×20, H&E, 6 image tiles from a single gastric biopsy slide, each 300 × 300 pixels.
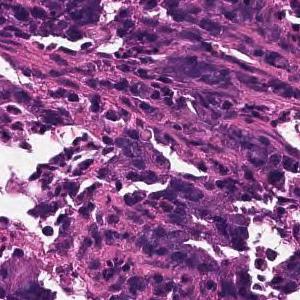
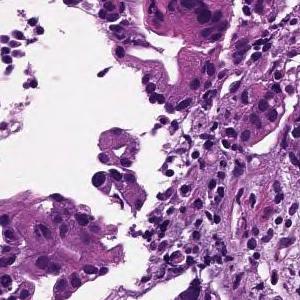
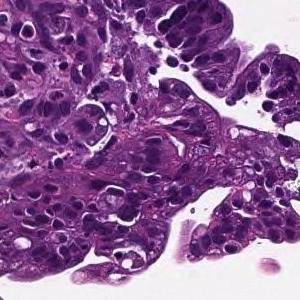
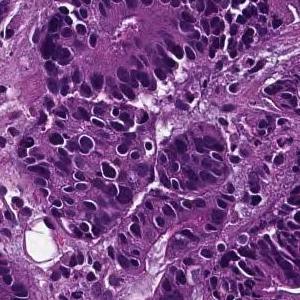
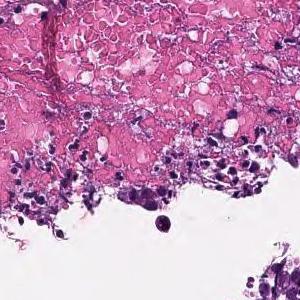
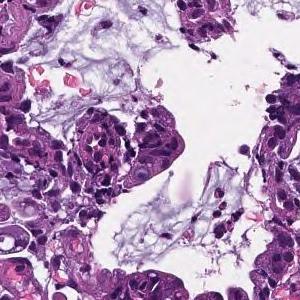
Diagnostic report for the slide these tiles come from. Both the report and the diagnosis are for the whole slide: these tiles need not show every feature named, and some of the tissue shown may not be tumor.
On the superficial epithelium, tumor tissue consisting of large irregular glandular ducts partially fused and infiltrated is observed. Well to moderately differentiated tubular adenocarcinoma (well differentiated tubular adenocarcinoma, moderately differentiated tubular adenocarcinoma)
Subtype: Well to moderately differentiated tubular adenocarcinoma.
